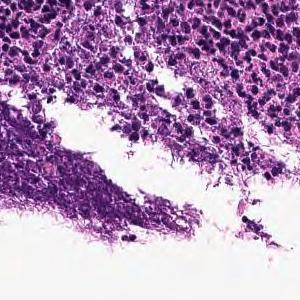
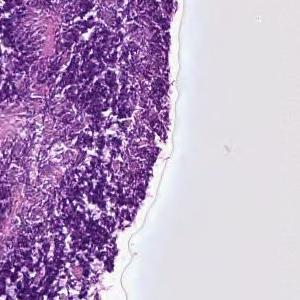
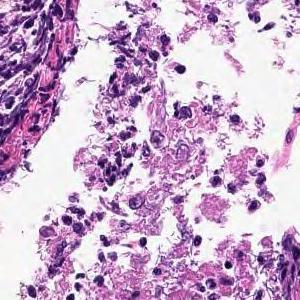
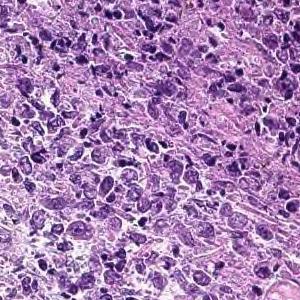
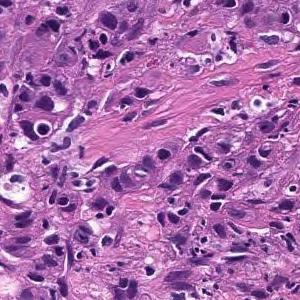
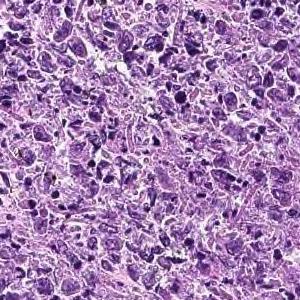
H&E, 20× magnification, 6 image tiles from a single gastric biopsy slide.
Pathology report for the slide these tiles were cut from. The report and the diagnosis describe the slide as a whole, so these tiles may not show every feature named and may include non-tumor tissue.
Cancers with polygonal nuclei do not show glandular formation and are densely, in part, cord-like and proliferate. Poorly differentiated adenocarcinoma
Histologic type: Poorly differentiated adenocarcinoma, non-solid type.
"Non-solid type" is a category of the Japanese Classification of Gastric Carcinoma.
